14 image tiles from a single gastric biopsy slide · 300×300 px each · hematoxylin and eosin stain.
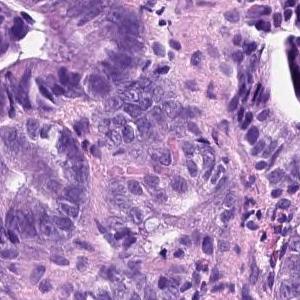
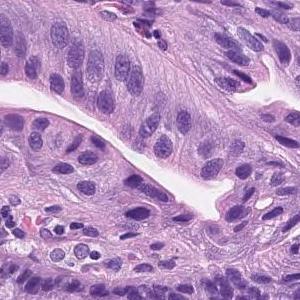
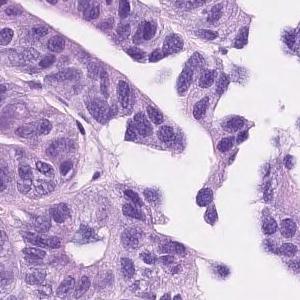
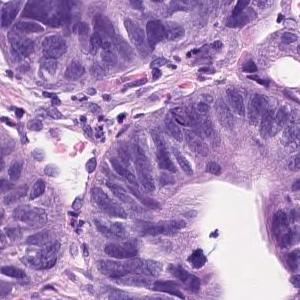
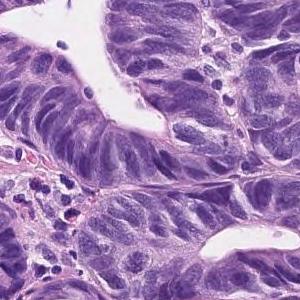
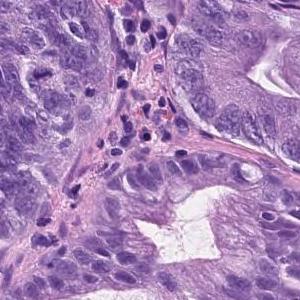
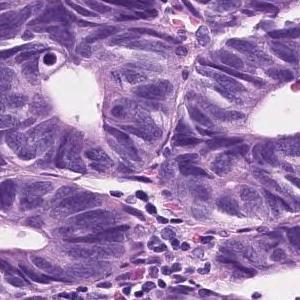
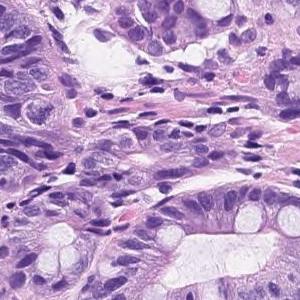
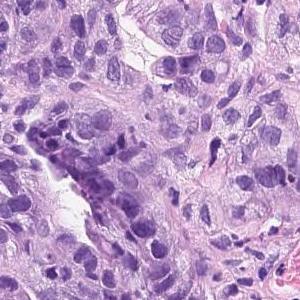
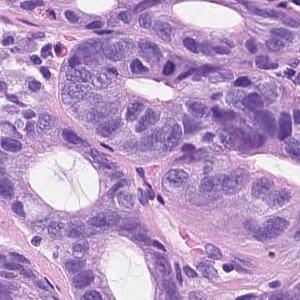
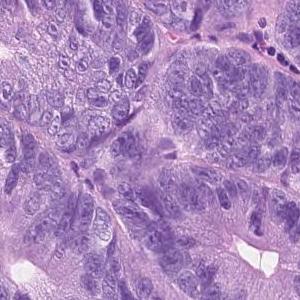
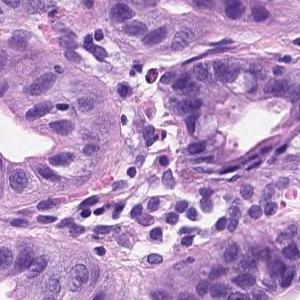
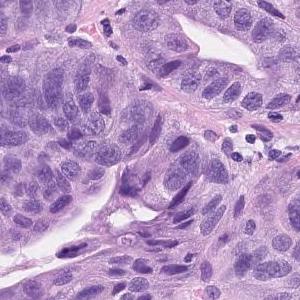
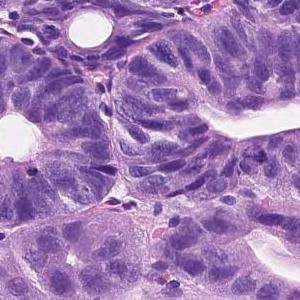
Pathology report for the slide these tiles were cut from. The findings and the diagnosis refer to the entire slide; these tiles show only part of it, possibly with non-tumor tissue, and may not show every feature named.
Tumor tissue consisting of medium-sized and irregular ducts is observed infiltrating in the superficial epithelium. Tumor cells are highly columnar, with nuclei aligned basolaterally and polarized. Well differentiated tubular adenocarcinoma.
